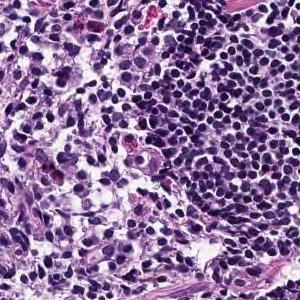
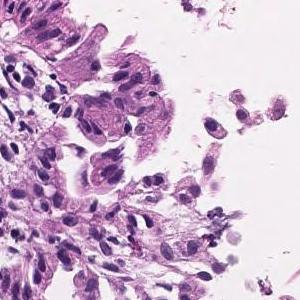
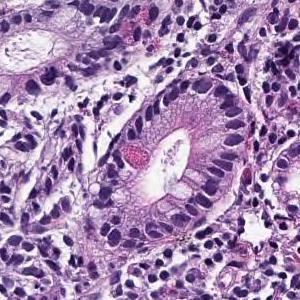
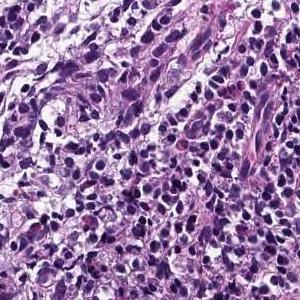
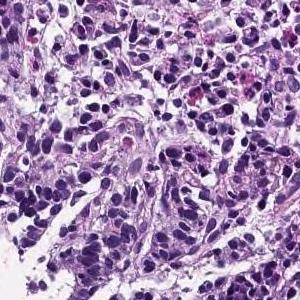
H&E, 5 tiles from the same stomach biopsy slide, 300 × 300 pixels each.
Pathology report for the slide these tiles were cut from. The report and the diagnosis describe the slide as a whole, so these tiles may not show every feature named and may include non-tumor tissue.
Tumor tissue consisting of cord-like or small, irregular glandular ducts fused and infiltrated is observed in the superficial epithelium. Poorly differentiated adenocarcinoma, non-solid type
"Non-solid type" is a category of the Japanese Classification of Gastric Carcinoma.
